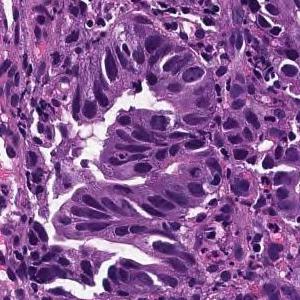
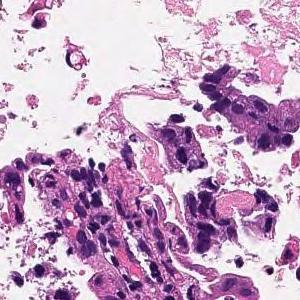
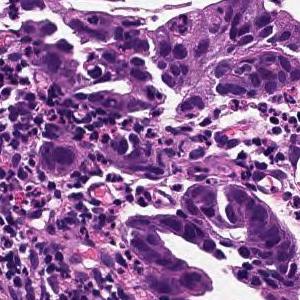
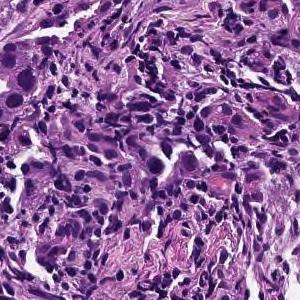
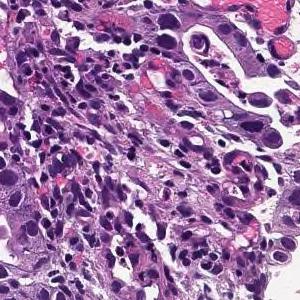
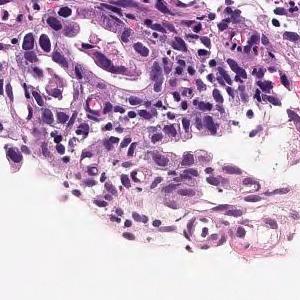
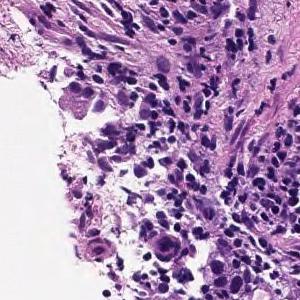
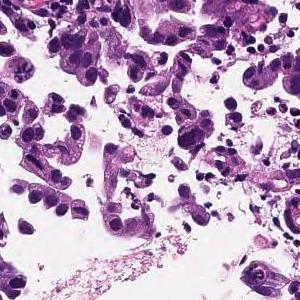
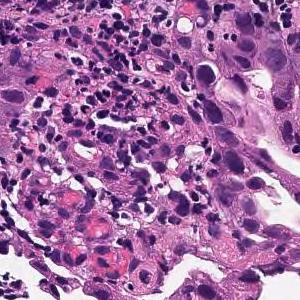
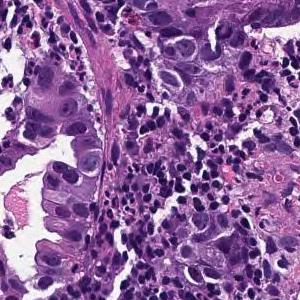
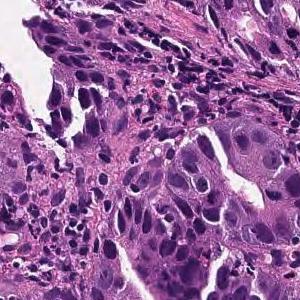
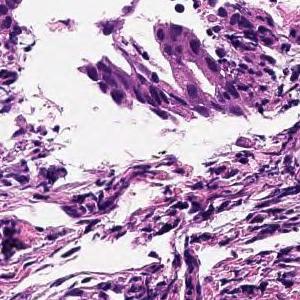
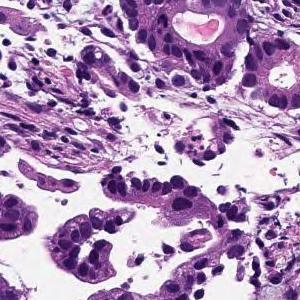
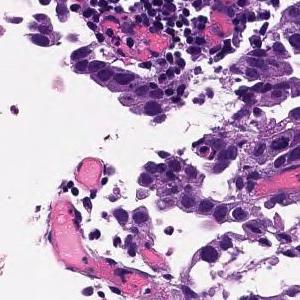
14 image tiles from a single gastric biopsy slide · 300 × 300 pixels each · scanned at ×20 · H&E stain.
The pathologist's report on the biopsy slide these tiles were taken from. The report and the diagnosis cover the entire slide, so not every feature they name need be visible here, and some tissue shown may not be tumor.
In the superficial epithelium, tumor tissue that invades by forming medium-sized to small, irregular ducts is observed. moderately differentiated tubular adenocarcinoma.
